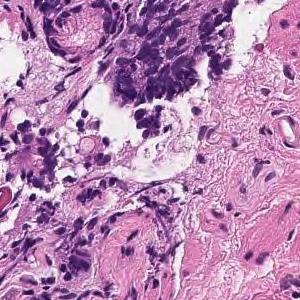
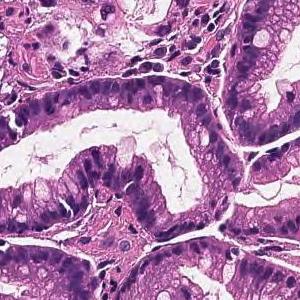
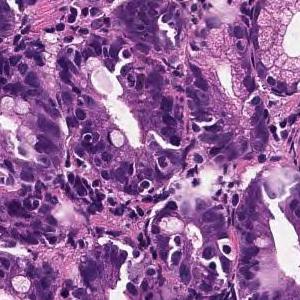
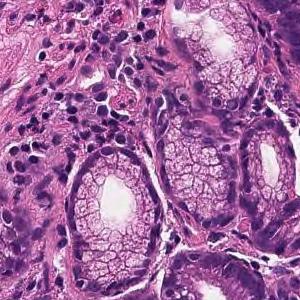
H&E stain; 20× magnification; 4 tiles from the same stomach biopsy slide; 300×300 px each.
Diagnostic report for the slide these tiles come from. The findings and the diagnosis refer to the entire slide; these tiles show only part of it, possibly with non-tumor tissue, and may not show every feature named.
From the superficial epithelium to the muscularis mucosae, tumor tissue consisting of medium-sized and irregular glandular ducts infiltrating is observed. Well differentiated tubular adenocarcinoma
